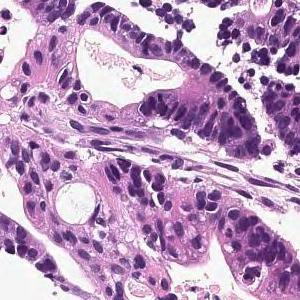
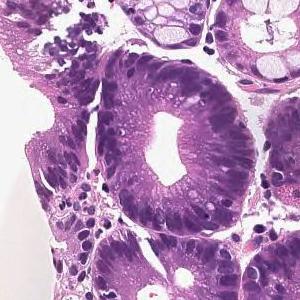
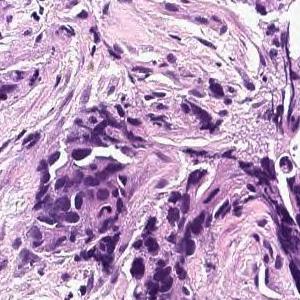
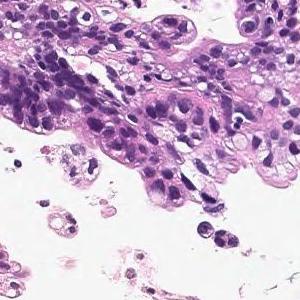
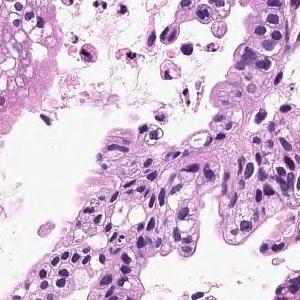
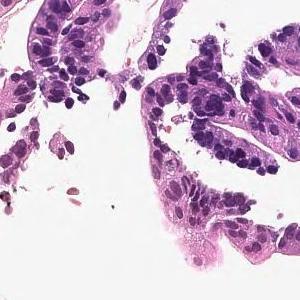
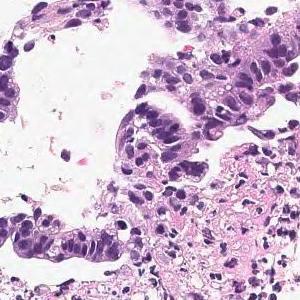
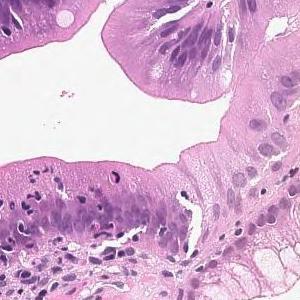
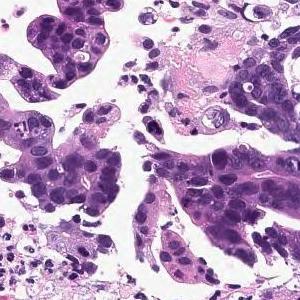
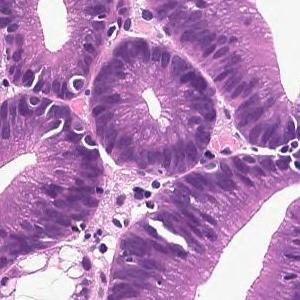
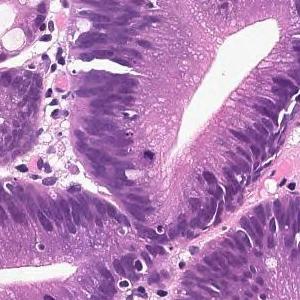
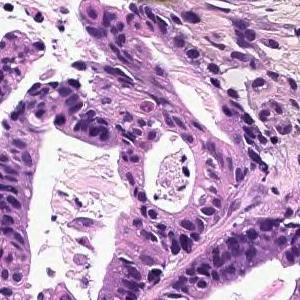
×20, 12 patches cut from one gastric biopsy slide, 300 × 300 pixels each.
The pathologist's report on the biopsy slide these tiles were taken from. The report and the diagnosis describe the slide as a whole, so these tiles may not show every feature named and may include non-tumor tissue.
In the superficial epithelium, tumor tissue that invades by forming medium-sized to small, irregular ducts is observed. moderately differentiated tubular adenocarcinoma.
